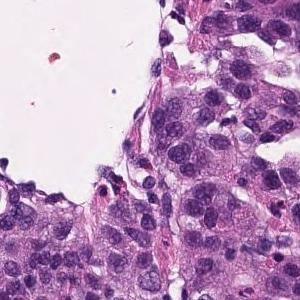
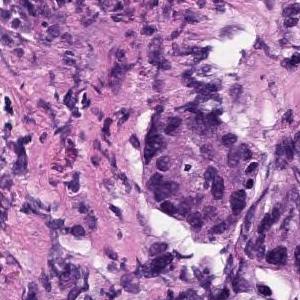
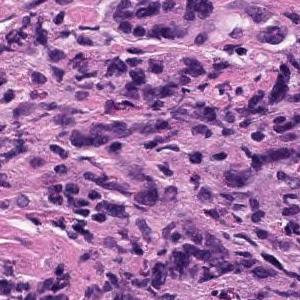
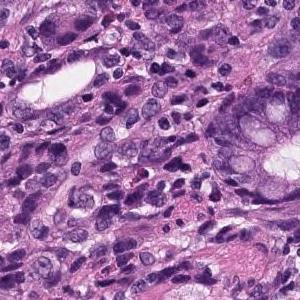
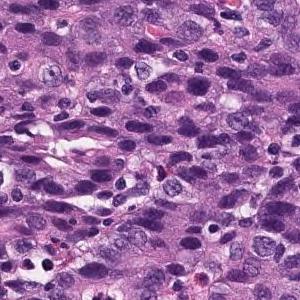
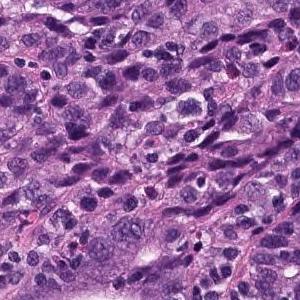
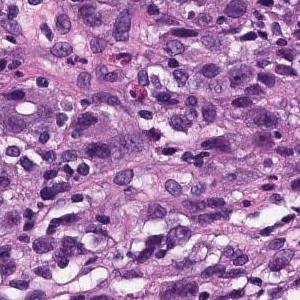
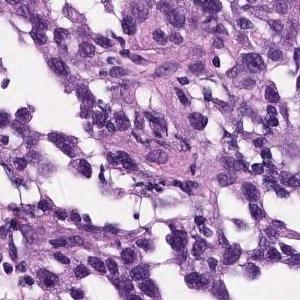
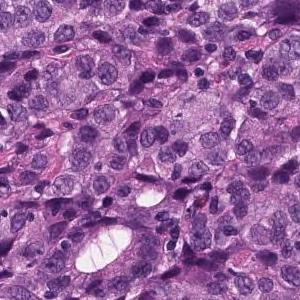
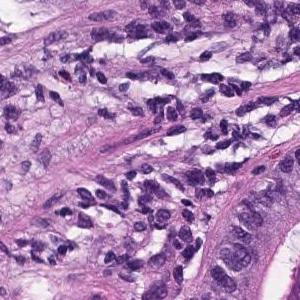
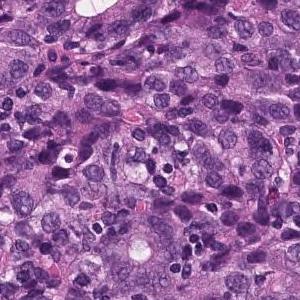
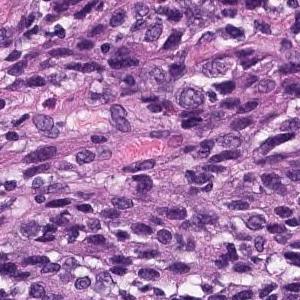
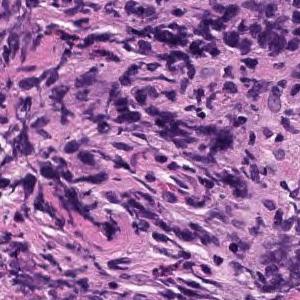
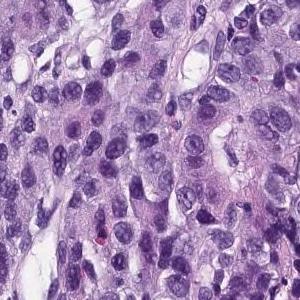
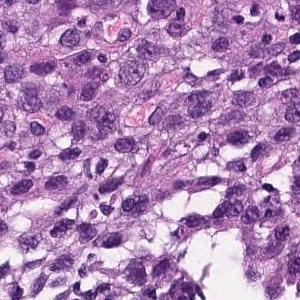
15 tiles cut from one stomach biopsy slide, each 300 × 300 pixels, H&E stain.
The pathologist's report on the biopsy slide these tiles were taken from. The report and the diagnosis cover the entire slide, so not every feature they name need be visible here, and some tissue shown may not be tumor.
In the superficial epithelium, tumor tissue that invades by forming medium-sized to small, irregular ducts is observed. Moderately differentiated adenocarcinoma.
Subtype: Moderately differentiated tubular adenocarcinoma.
